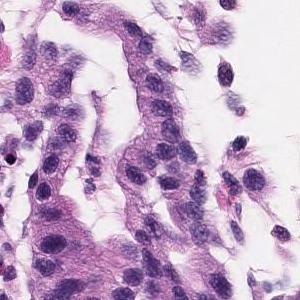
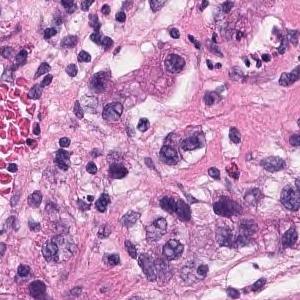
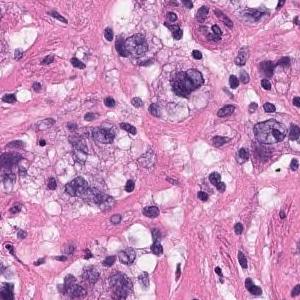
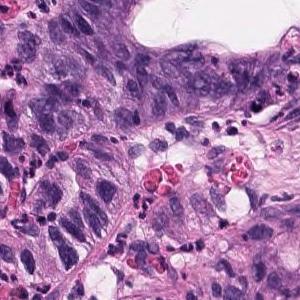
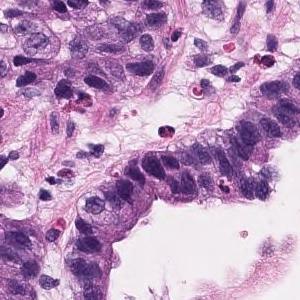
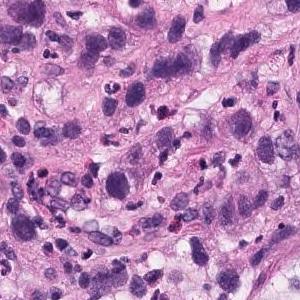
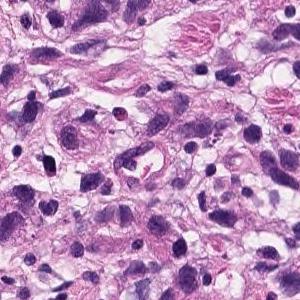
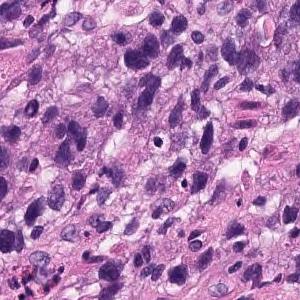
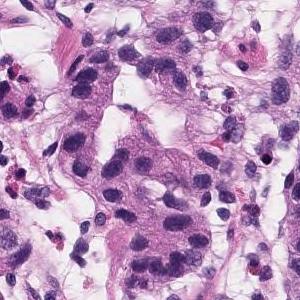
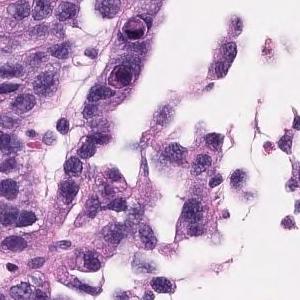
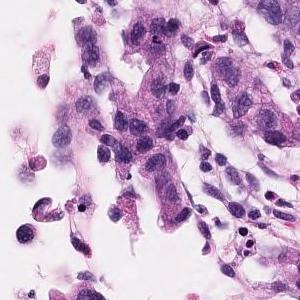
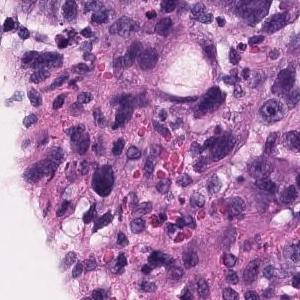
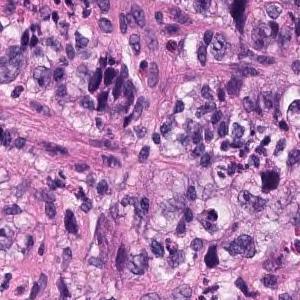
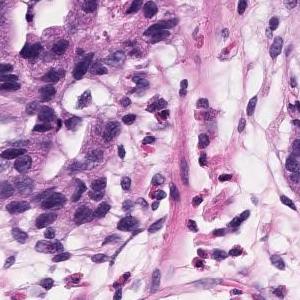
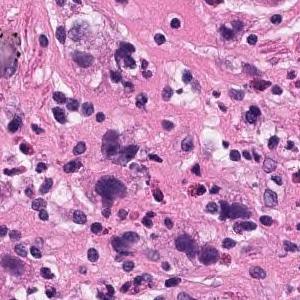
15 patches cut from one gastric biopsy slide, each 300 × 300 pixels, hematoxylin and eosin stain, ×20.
Report on the slide these tiles come from. The findings and the diagnosis refer to the entire slide; these tiles show only part of it, possibly with non-tumor tissue, and may not show every feature named.
Atypical l cells with atypical nuclei forming diffuse or small irregular atypical ducts and growing. Moderately to poorly differentiated adenocarcinoma (poorly differentiated adenocarcinoma, solid type, moderately differentiated tubular adenocarcinoma)
Tumor subtype: moderately to poorly differentiated adenocarcinoma.
The solid type named here is a Japanese Classification of Gastric Carcinoma category; WHO 2019 calls it tubular adenocarcinoma, poorly differentiated.
